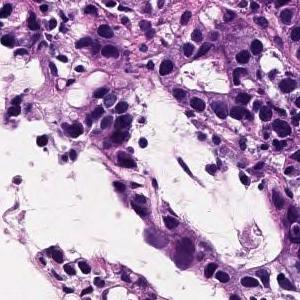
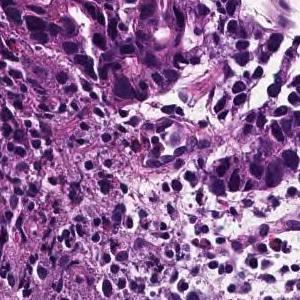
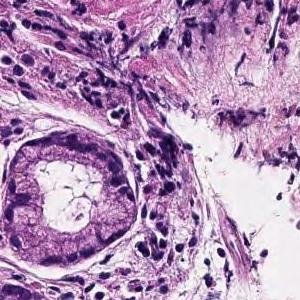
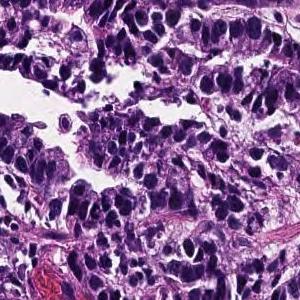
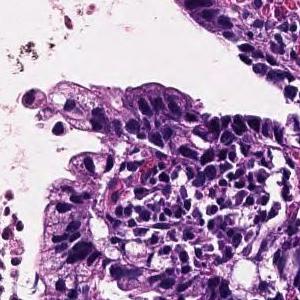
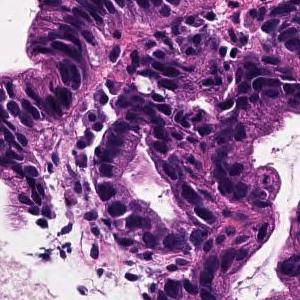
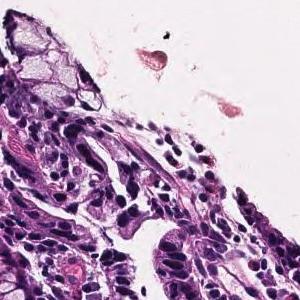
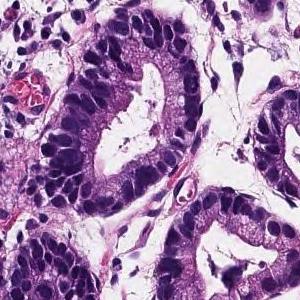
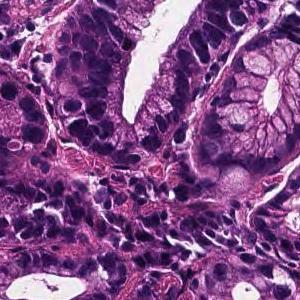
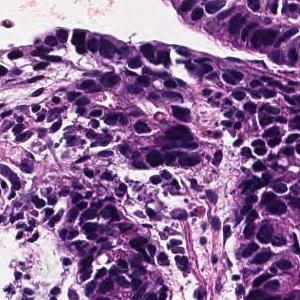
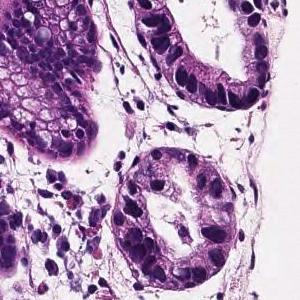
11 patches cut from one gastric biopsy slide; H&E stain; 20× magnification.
The pathologist's report on the biopsy slide these tiles were taken from. Both the report and the diagnosis are for the whole slide: these tiles need not show every feature named, and some of the tissue shown may not be tumor.
Tumor cells are large, highly columnar, large club-shaped nuclei, and are associated with chromatin aggregation. Papillary adenocarcinoma.
